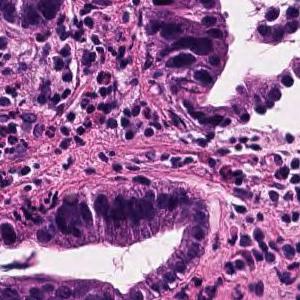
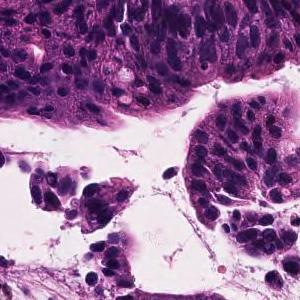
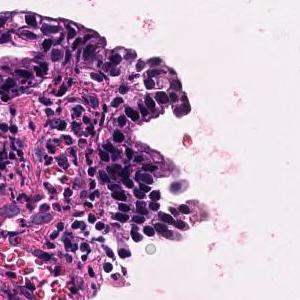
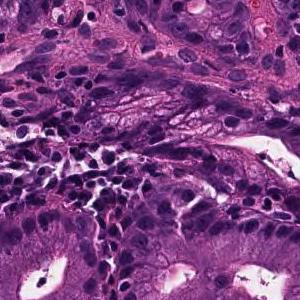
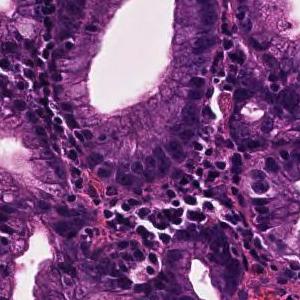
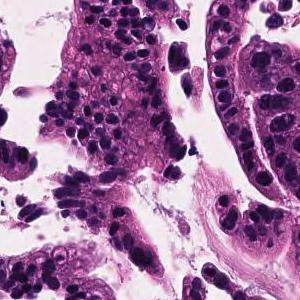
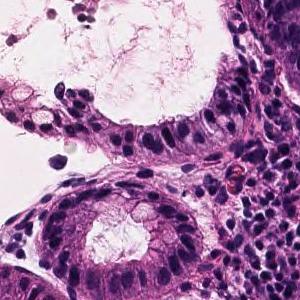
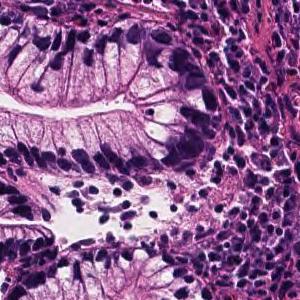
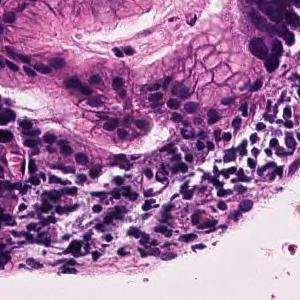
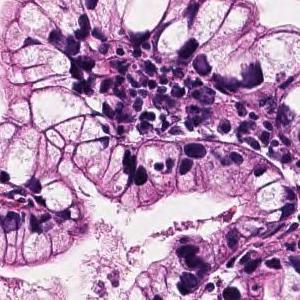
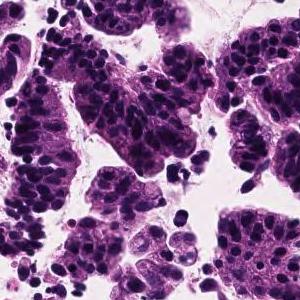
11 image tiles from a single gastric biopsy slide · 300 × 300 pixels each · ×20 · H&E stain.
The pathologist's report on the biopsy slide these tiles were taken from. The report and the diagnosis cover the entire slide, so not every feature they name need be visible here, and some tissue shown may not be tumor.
Tumor cells are large, highly columnar, large club-shaped nuclei, and are associated with chromatin aggregation. Papillary adenocarcinoma.
